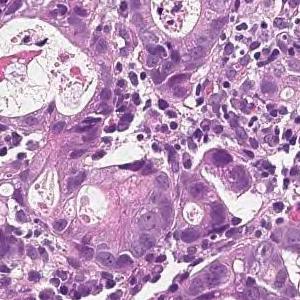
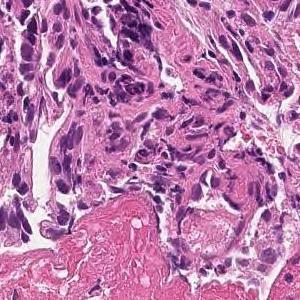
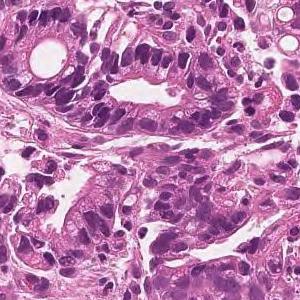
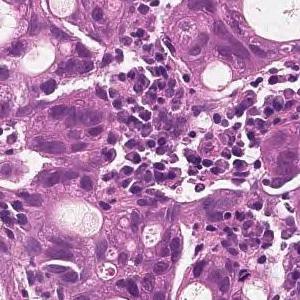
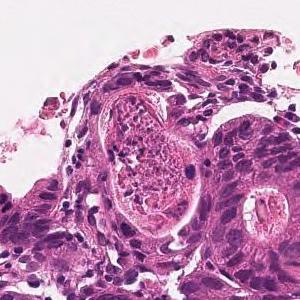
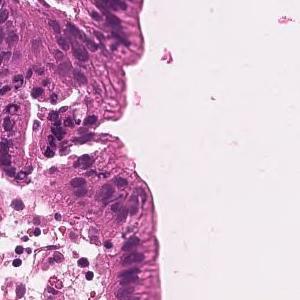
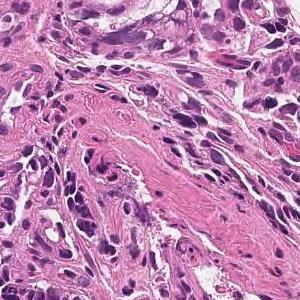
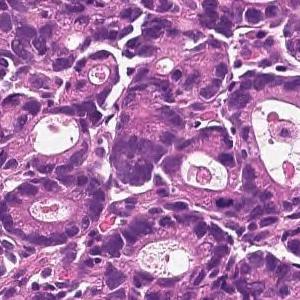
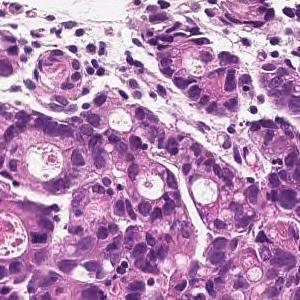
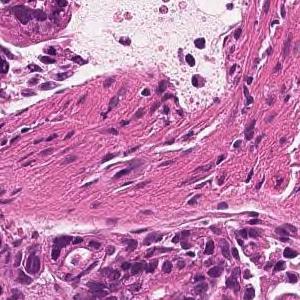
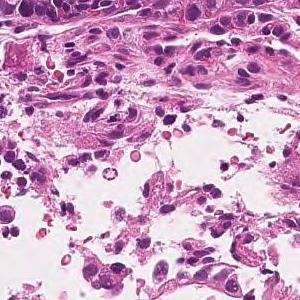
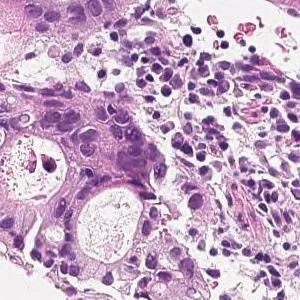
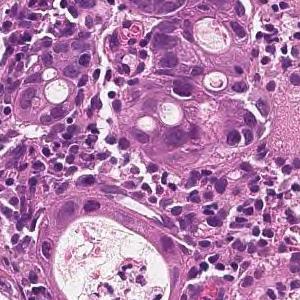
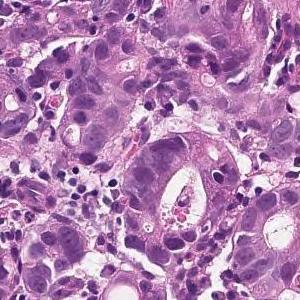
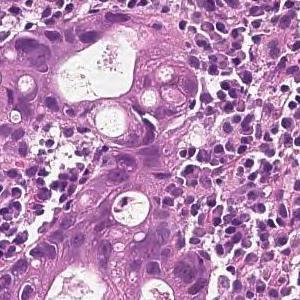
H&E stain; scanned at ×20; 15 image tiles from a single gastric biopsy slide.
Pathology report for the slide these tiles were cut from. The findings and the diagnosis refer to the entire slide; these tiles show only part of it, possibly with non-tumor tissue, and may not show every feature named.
On the superficial epithelium, tumor tissue is found in which medium-sized irregular gland ducts fuse with each other and infiltrate. moderately differentiated tubular adenocarcinoma
